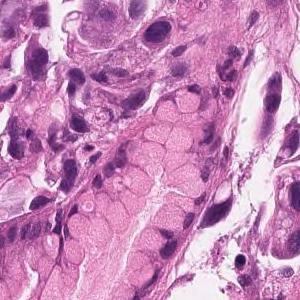
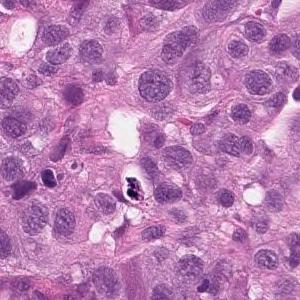
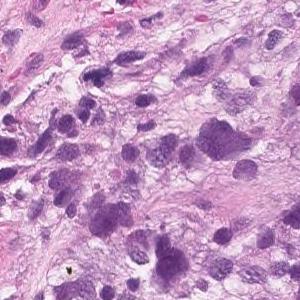
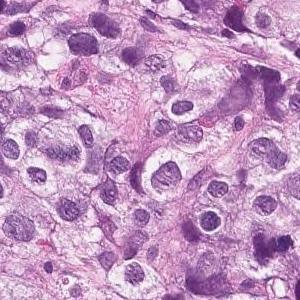
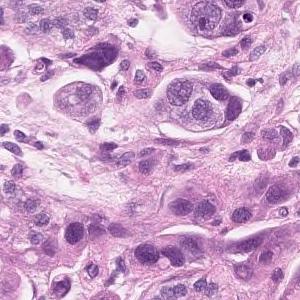
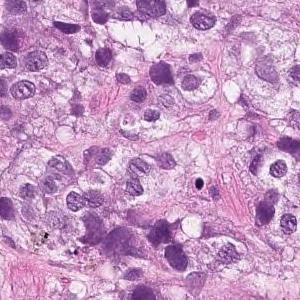
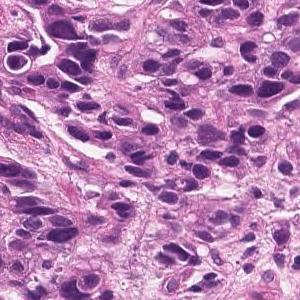
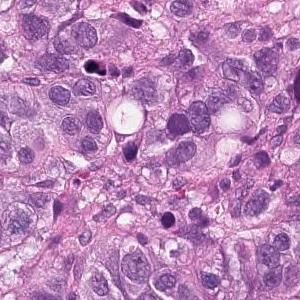
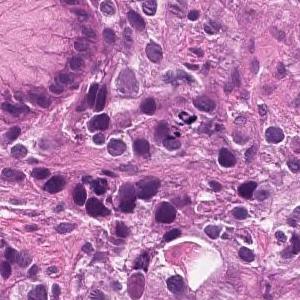
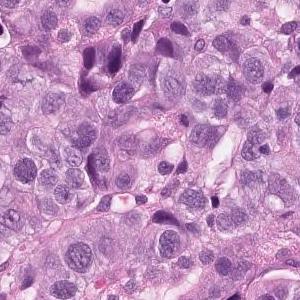
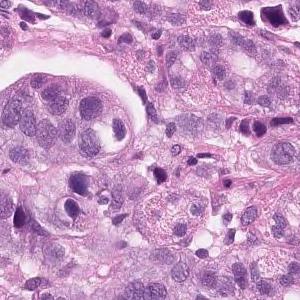
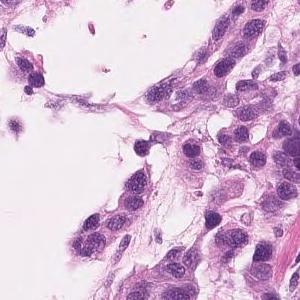
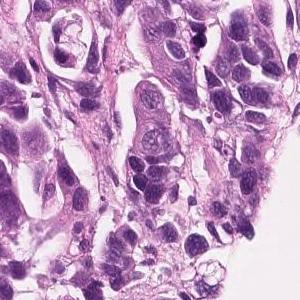
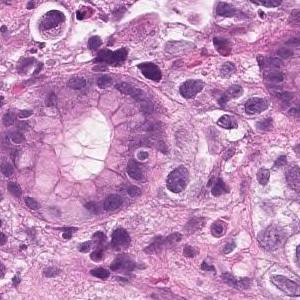
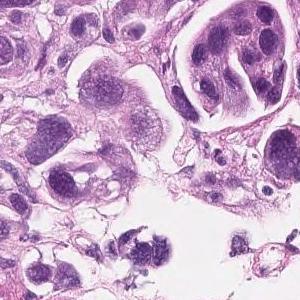
20× magnification · H&E stain · 15 tiles from the same stomach biopsy slide · 300×300 px each.
Diagnostic report for the slide these tiles come from. Both the report and the diagnosis are for the whole slide: these tiles need not show every feature named, and some of the tissue shown may not be tumor.
Tumor tissue that infiltrates the epithelium in an alveolar manner. Poorly differentiated adenocarcinoma, solid-type
Classified as poorly differentiated adenocarcinoma, solid type (Japanese Classification of Gastric Carcinoma). The WHO 2019 equivalent is tubular adenocarcinoma, poorly differentiated.
